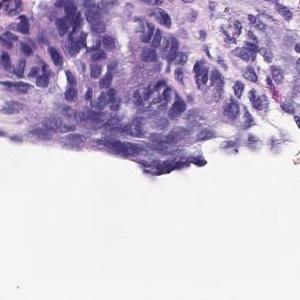
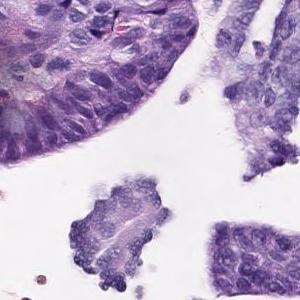
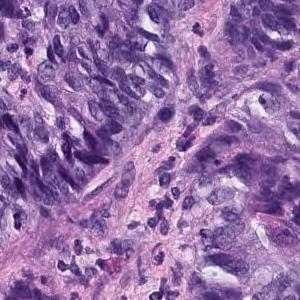
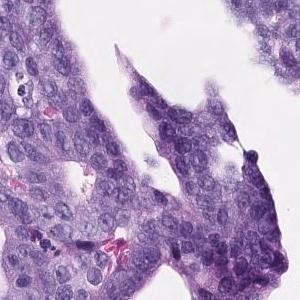
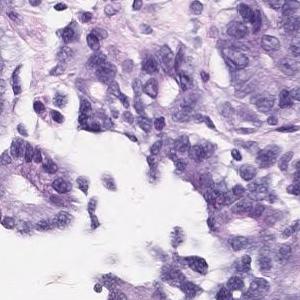
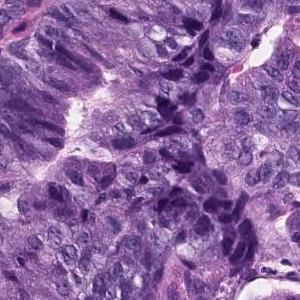
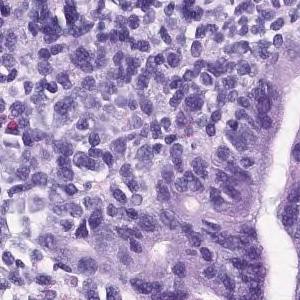
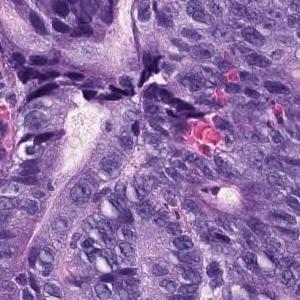
H&E stain, 8 patches cut from one gastric biopsy slide.
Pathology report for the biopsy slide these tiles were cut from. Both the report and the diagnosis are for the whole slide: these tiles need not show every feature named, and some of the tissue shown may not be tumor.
In the superficial epithelium, tumor tissue that invades by forming medium-sized to small, irregular ducts is observed. Well to moderately differentiated tubular adenocarcinoma.
